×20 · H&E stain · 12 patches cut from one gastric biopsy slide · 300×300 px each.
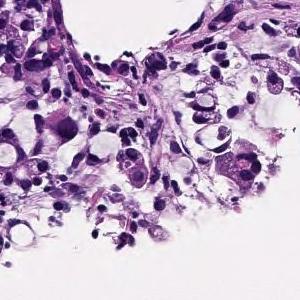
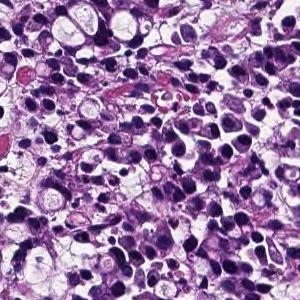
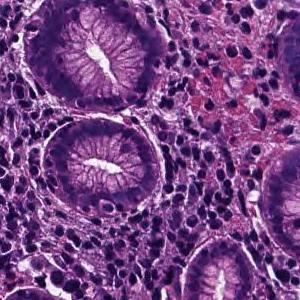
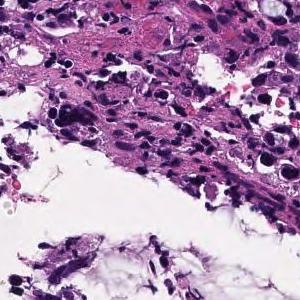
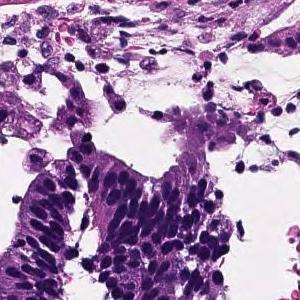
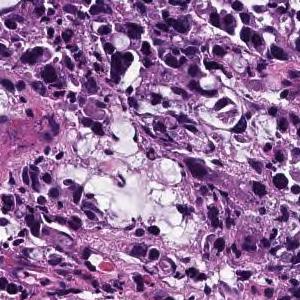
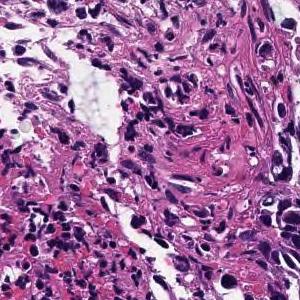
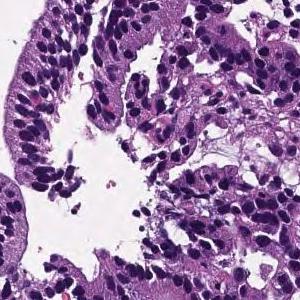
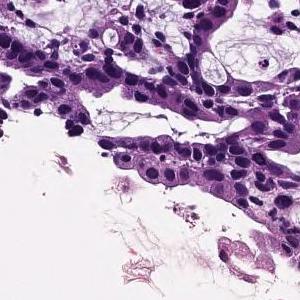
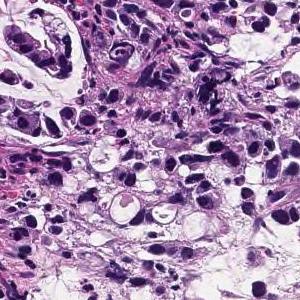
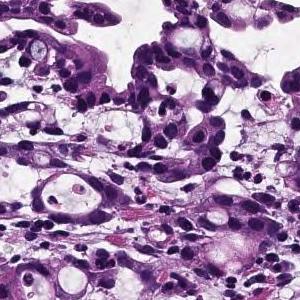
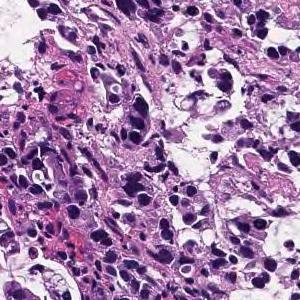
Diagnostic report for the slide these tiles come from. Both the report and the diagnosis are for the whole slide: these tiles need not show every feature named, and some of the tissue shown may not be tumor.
Tumor tissue consisting of cord-like or small, irregular glandular ducts fused and infiltrated is observed in the superficial epithelium. Poorly differentiated adenocarcinoma, non-solid type
The term "non-solid type" comes from the Japanese Classification of Gastric Carcinoma.
